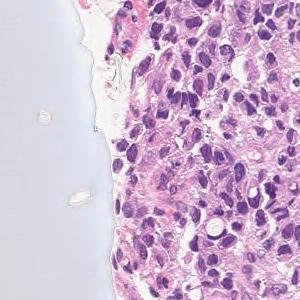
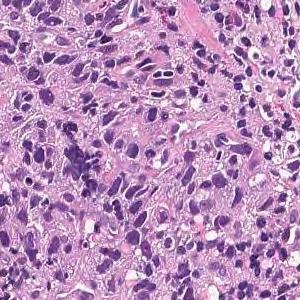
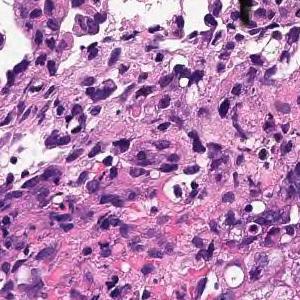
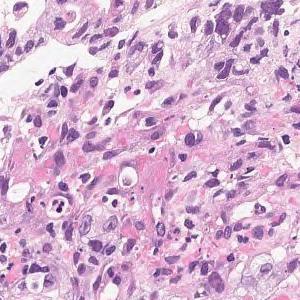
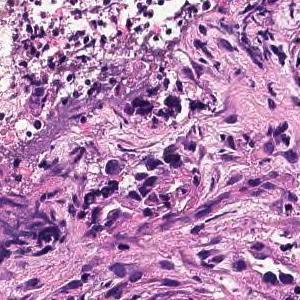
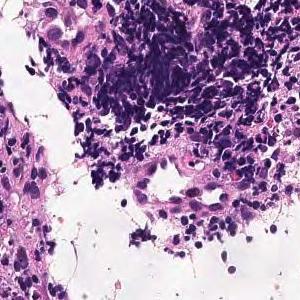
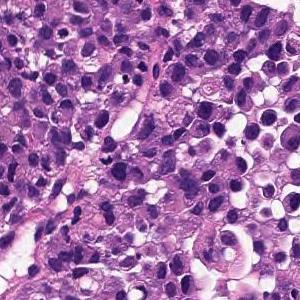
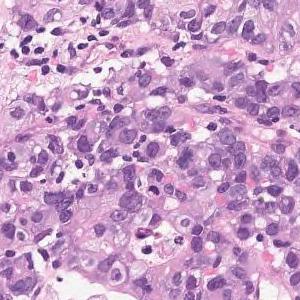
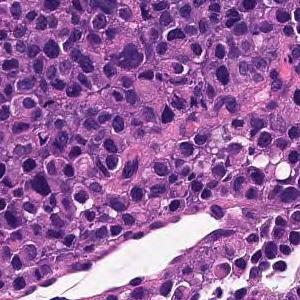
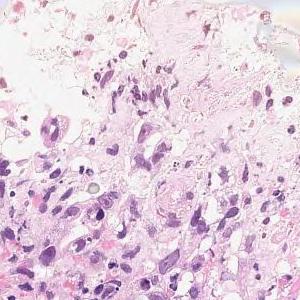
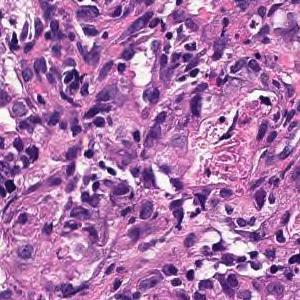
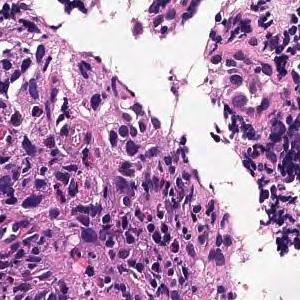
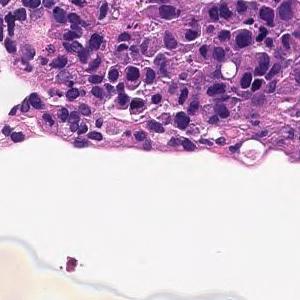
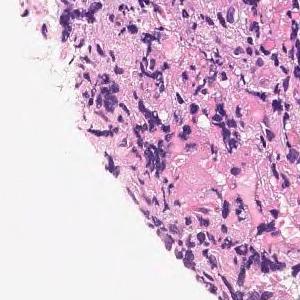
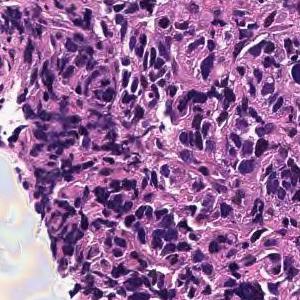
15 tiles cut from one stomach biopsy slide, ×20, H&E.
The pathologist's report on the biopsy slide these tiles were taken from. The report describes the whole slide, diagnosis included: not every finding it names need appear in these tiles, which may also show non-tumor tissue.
Large sheet-like or diffusely infiltrating tumor tissue is found in the superficial epithelium. Poorly differentiated adenocarcinoma, solid-type
Histological subtype: Poorly differentiated adenocarcinoma, solid type. This name comes from the Japanese Classification of Gastric Carcinoma; the WHO 2019 classification calls it tubular adenocarcinoma, poorly differentiated.
